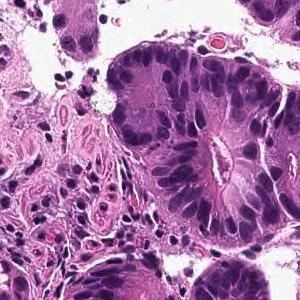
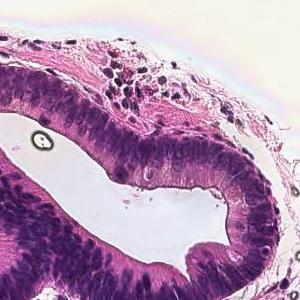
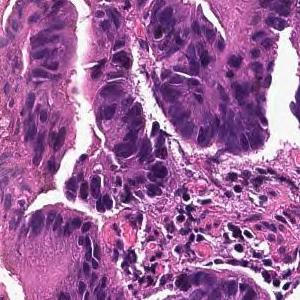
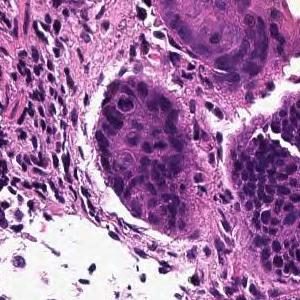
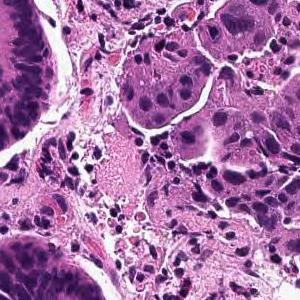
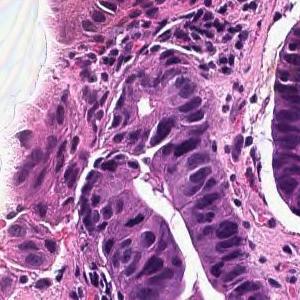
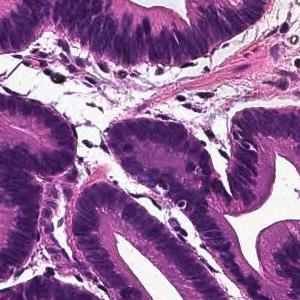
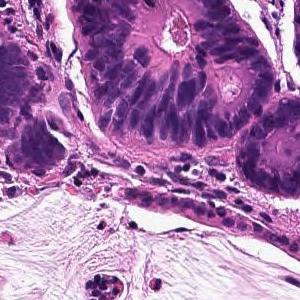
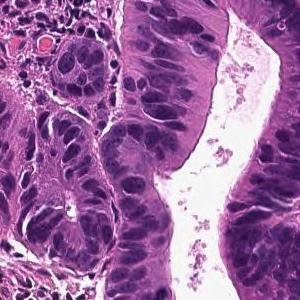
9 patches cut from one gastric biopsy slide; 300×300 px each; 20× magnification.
Pathology report for the slide these tiles were cut from. The report and the diagnosis describe the slide as a whole, so these tiles may not show every feature named and may include non-tumor tissue.
From the superficial epithelium to the muscularis mucosae, tumor tissue consisting of medium-sized and irregular glandular ducts infiltrating is observed. Well differentiated tubular adenocarcinoma
